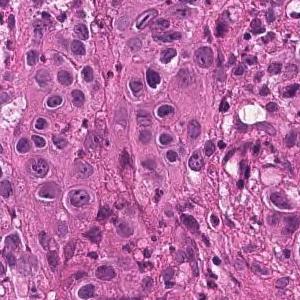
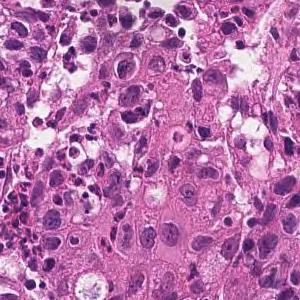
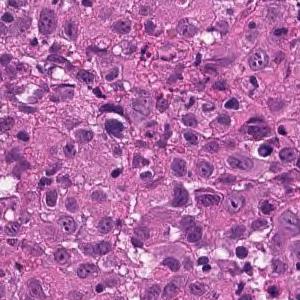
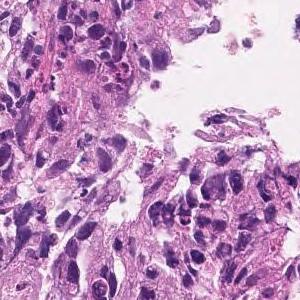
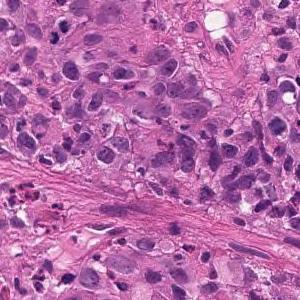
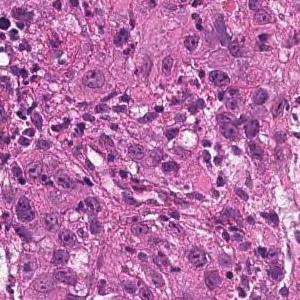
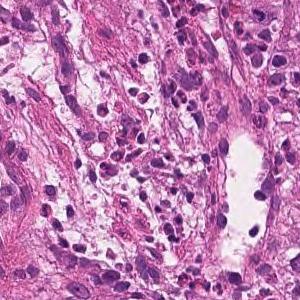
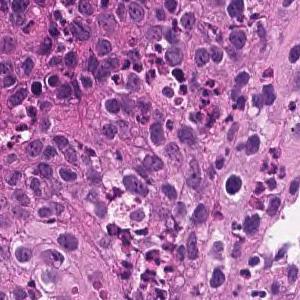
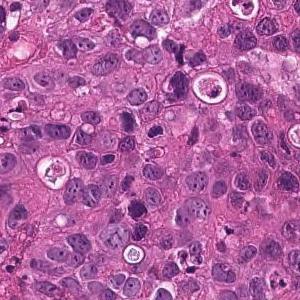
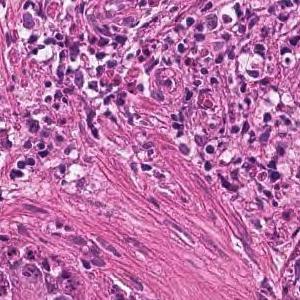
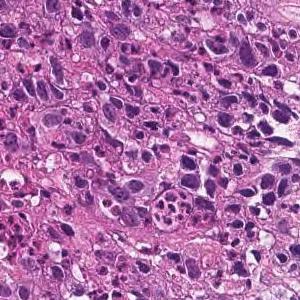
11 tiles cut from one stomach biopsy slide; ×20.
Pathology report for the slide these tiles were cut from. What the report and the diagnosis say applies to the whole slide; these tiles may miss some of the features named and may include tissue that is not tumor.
The superficial epithelium shows a large sheet-like shape, and some tumor tissue infiltrates with small irregular ducts. Poorly differentiated adenocarcinoma, solid-type
Classified as poorly differentiated adenocarcinoma, solid type, a category of the Japanese Classification of Gastric Carcinoma; in the WHO 2019 classification it is tubular adenocarcinoma, poorly differentiated.
